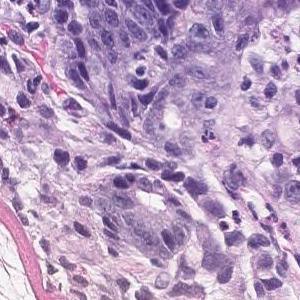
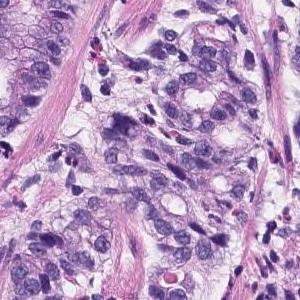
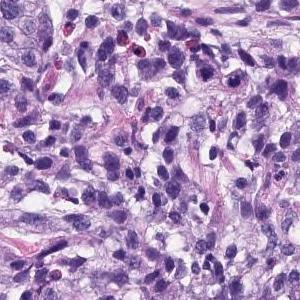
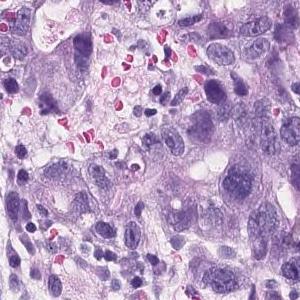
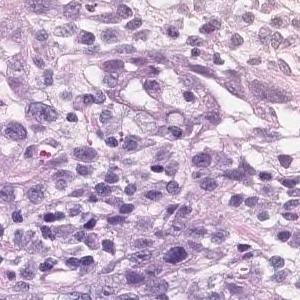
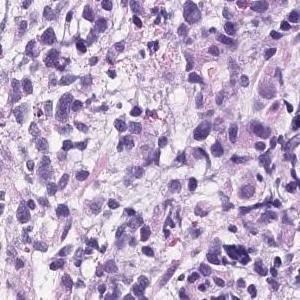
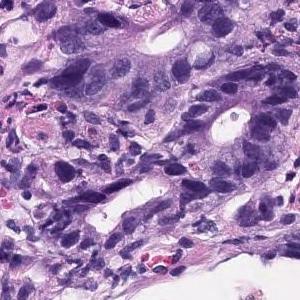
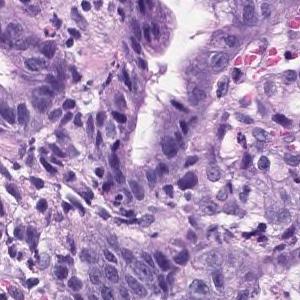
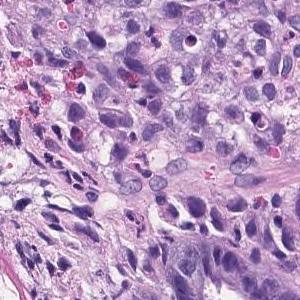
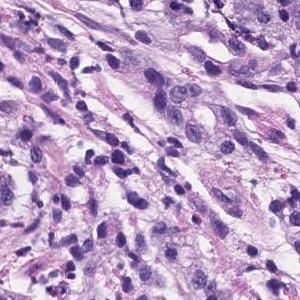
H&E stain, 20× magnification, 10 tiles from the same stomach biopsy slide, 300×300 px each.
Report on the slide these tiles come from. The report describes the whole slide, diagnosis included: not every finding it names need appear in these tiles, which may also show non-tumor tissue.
There are atypical l cells with atypical nuclei forming cord-like or irregular atypical ducts from solidity and proliferating in a comprehensive manner. Poorly differentiated adenocarcinoma, Moderately differentiated adenocarcinoma (poorly differentiated adenocarcinoma, solid type moderately differentiated tubular adenocarcinoma)
Tumor subtype: moderately to poorly differentiated adenocarcinoma.
"Solid type" is a category of the Japanese Classification of Gastric Carcinoma; in the WHO 2019 classification it is tubular adenocarcinoma, poorly differentiated.
